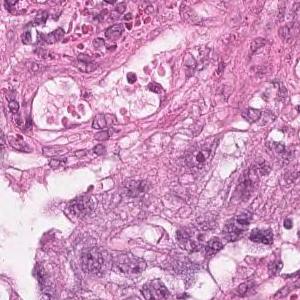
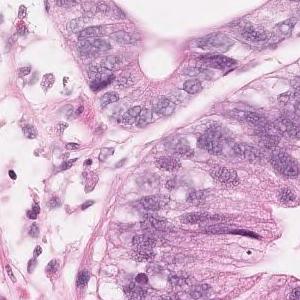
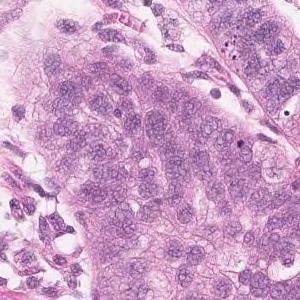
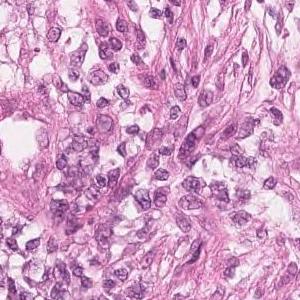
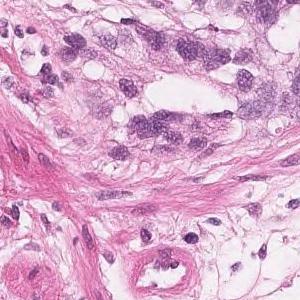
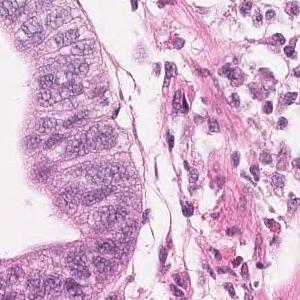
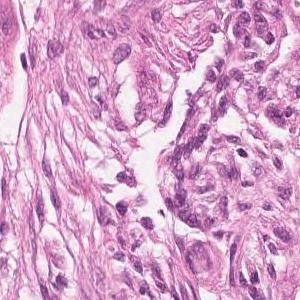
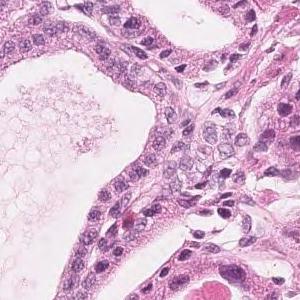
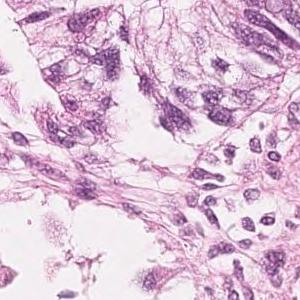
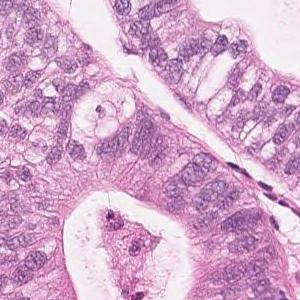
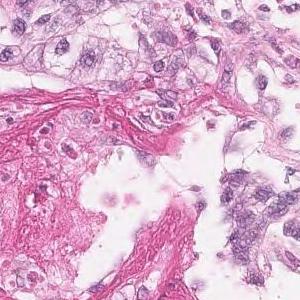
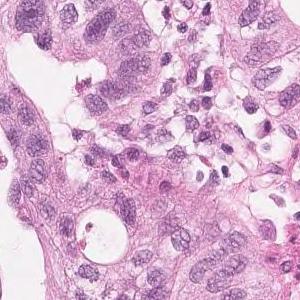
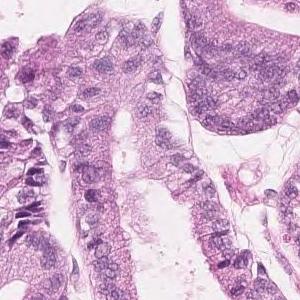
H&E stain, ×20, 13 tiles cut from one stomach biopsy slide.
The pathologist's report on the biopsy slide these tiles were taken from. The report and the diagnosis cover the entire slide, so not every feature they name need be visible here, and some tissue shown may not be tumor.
Highly columnar epithelium with disordered nuclear localization proliferates showing fusion ductal construction. moderately differentiated tubular adenocarcinoma
